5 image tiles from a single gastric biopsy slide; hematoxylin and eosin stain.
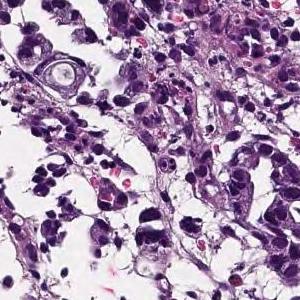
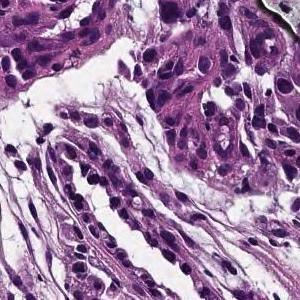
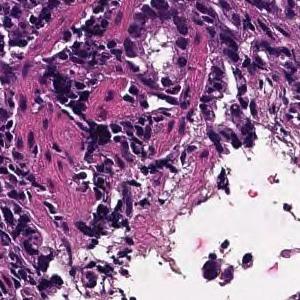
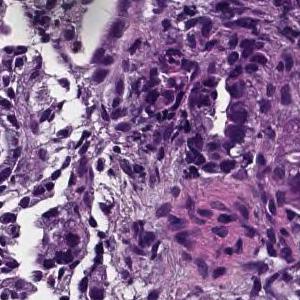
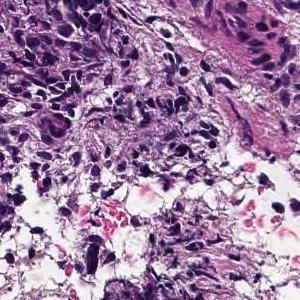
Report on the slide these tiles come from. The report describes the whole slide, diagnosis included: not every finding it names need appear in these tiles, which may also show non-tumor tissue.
Medium to small, irregular glandular ducts are formed in the superficial epithelium, and in some cases, the glandular ducts are fused to show solid alveolar lesions and infiltrating tumor tissue is observed. Moderately to poorly differentiated adenocarcinoma.
